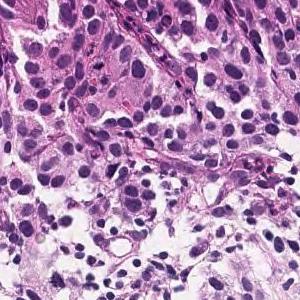
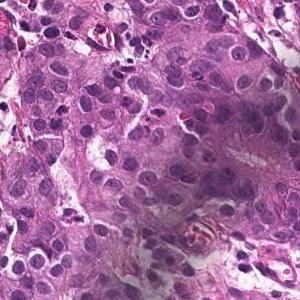
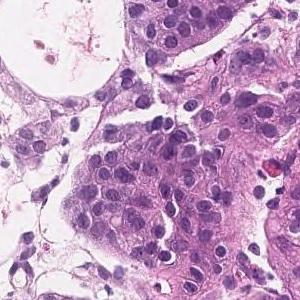
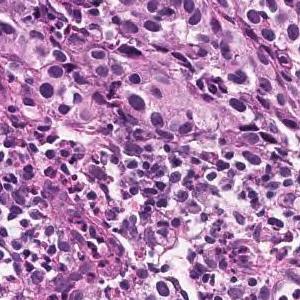
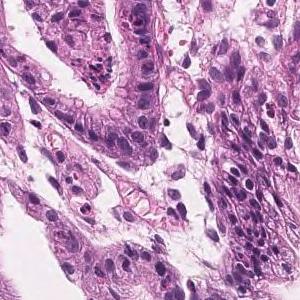
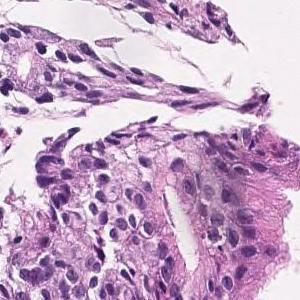
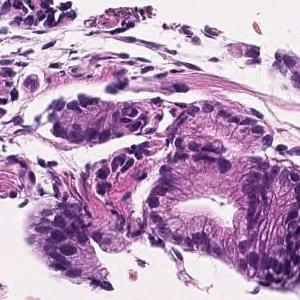
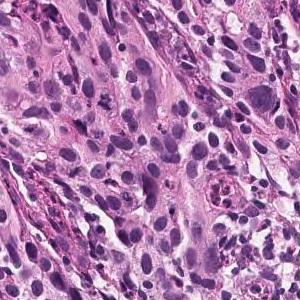
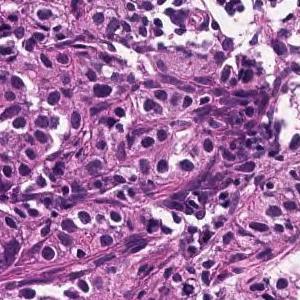
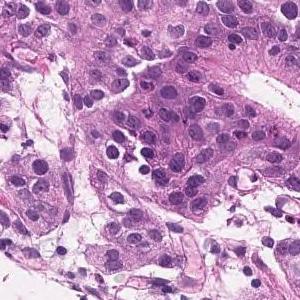
10 image tiles from a single gastric biopsy slide, ×20.
Report on the slide these tiles come from. What the report and the diagnosis say applies to the whole slide; these tiles may miss some of the features named and may include tissue that is not tumor.
Medium to small, irregular glandular ducts are formed in the superficial epithelium, and in some cases, the glandular ducts are fused to show solid alveolar lesions and infiltrating tumor tissue is observed. Moderately to poorly differentiated adenocarcinoma.
